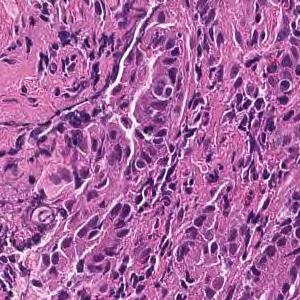
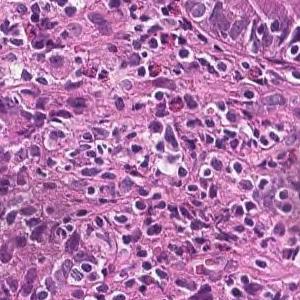
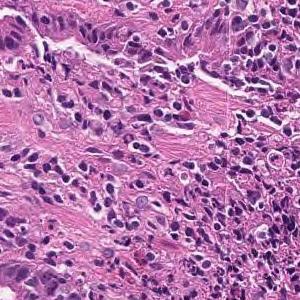
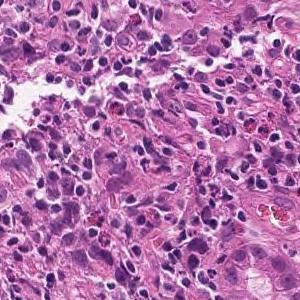
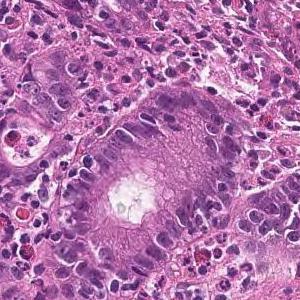
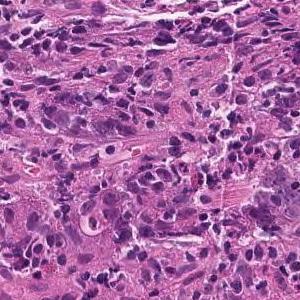
6 tiles from the same stomach biopsy slide · ×20 · H&E.
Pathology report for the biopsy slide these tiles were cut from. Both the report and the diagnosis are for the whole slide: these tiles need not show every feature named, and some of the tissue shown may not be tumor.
Tumor tissue consisting of medium-sized, cord-like or irregular glandular infiltration is observed in the superficial epithelium. Poorly differentiated adenocarcinoma, non-solid type or moderately differentiated tubular adenocarcinoma
Labeled in the dataset as poorly differentiated adenocarcinoma, non-solid type.
The term "non-solid type" comes from the Japanese Classification of Gastric Carcinoma.
